14 tiles from the same stomach biopsy slide · H&E stain · 20× magnification.
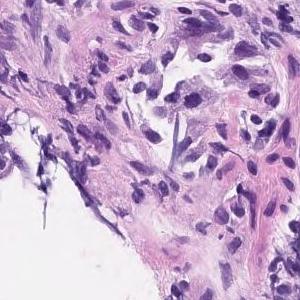
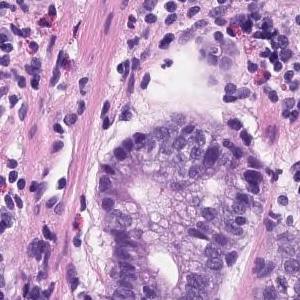
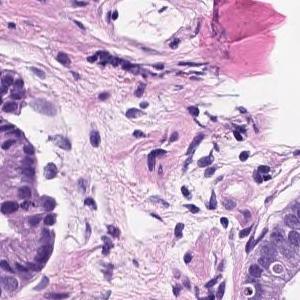
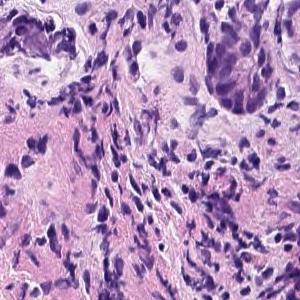
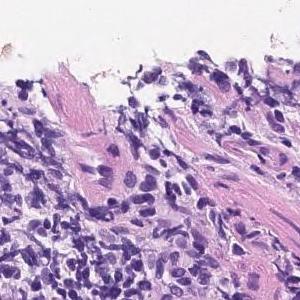
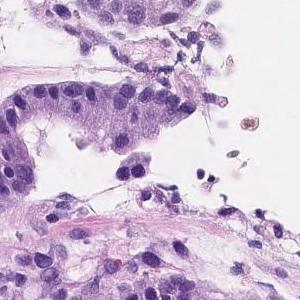
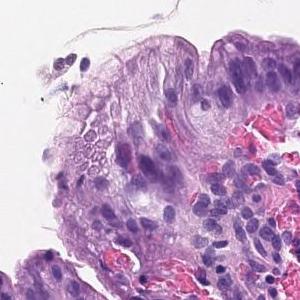
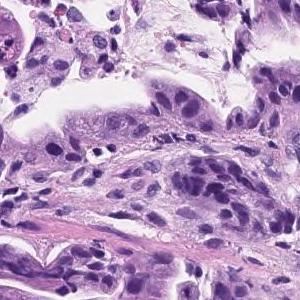
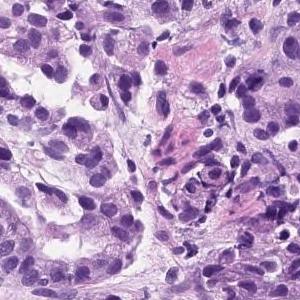
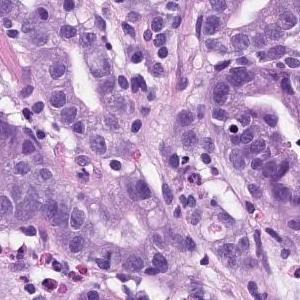
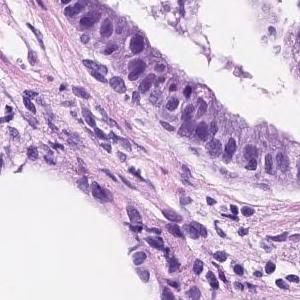
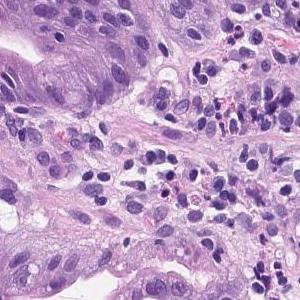
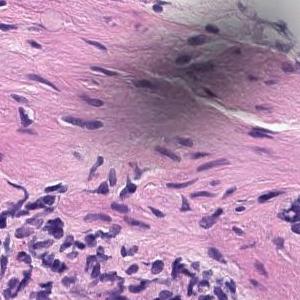
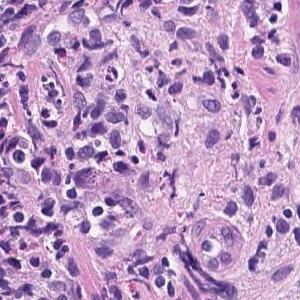
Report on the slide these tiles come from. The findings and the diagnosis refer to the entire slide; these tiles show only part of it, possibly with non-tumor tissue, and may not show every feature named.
Tumor tissue consisting of medium-sized and irregular ducts is observed infiltrating in the superficial epithelium. Tumor cells are highly columnar, with nuclei aligned basolaterally and polarized. Well differentiated tubular adenocarcinoma.
